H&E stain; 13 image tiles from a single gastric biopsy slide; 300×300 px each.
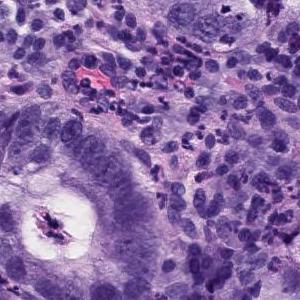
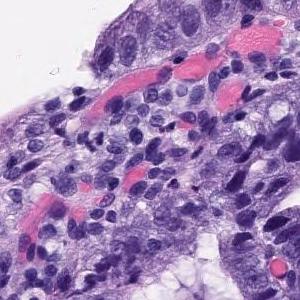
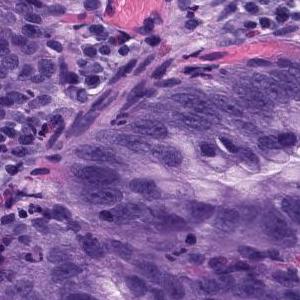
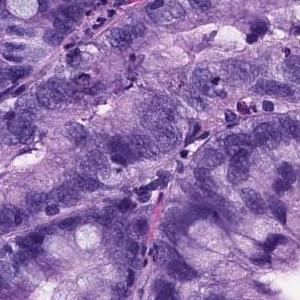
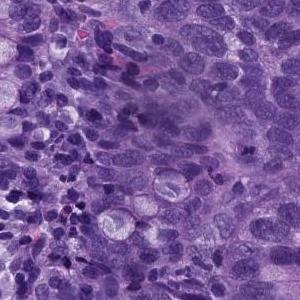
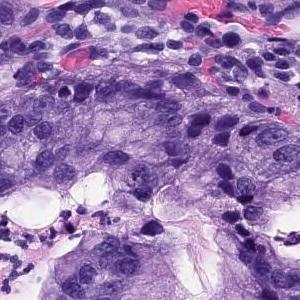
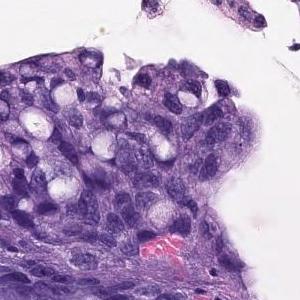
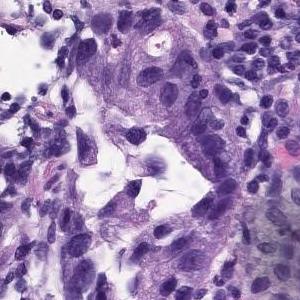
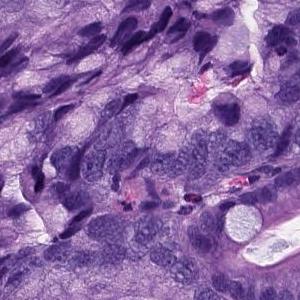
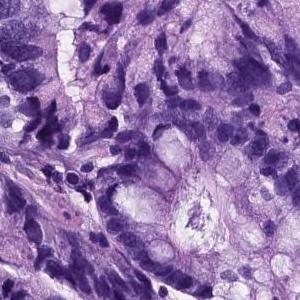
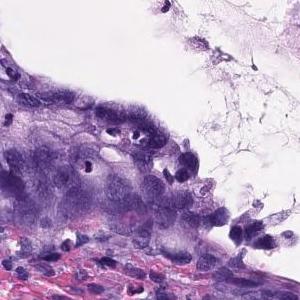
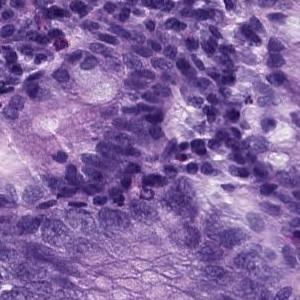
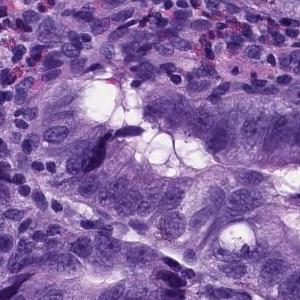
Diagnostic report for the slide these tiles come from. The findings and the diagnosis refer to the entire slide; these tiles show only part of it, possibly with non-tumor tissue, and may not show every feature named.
There are large atypical epithelial cells infiltrating and proliferating while forming atypical glandular cavities showing a fusion tendency. Moderately differentiated tubular adenocarcinoma.
